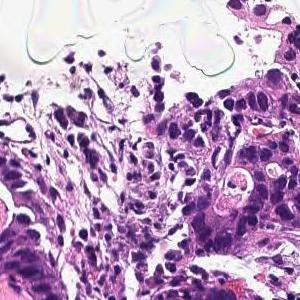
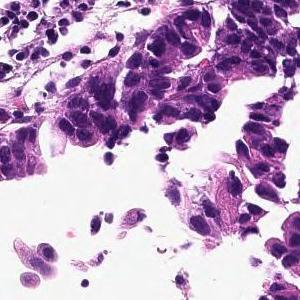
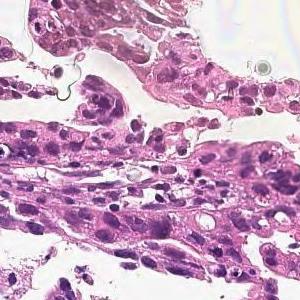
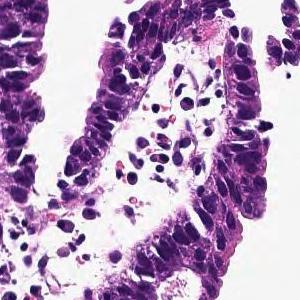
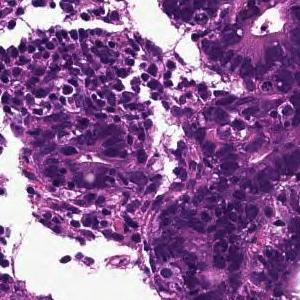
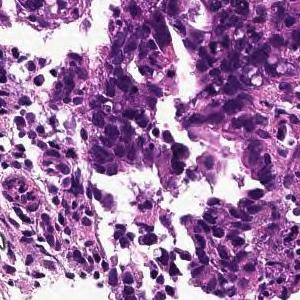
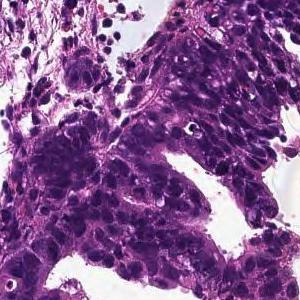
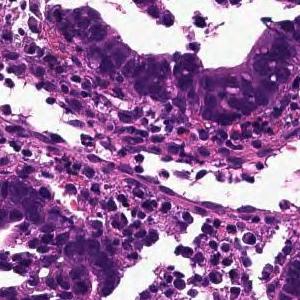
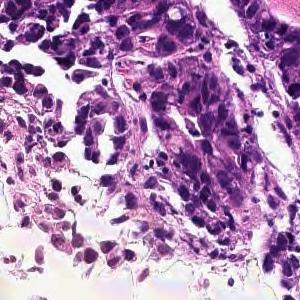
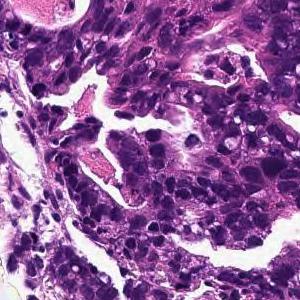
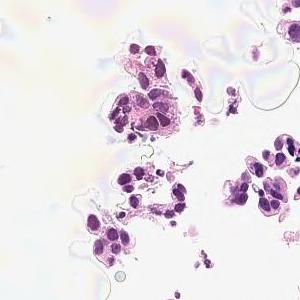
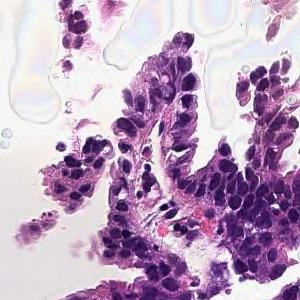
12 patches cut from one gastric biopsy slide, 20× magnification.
Pathology report for the slide these tiles were cut from. The report and the diagnosis describe the slide as a whole, so these tiles may not show every feature named and may include non-tumor tissue.
In the superficial epithelium, tumor tissue that invades by forming medium-sized to small, irregular ducts is observed. moderately differentiated tubular adenocarcinoma.
